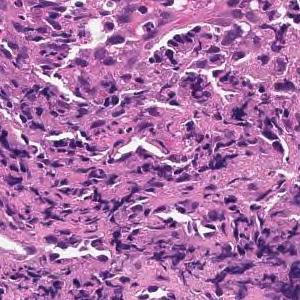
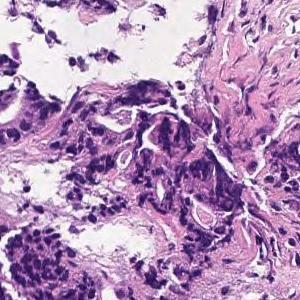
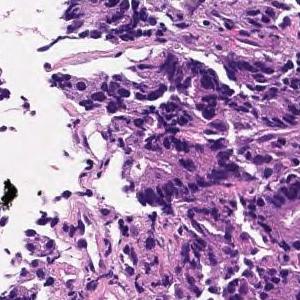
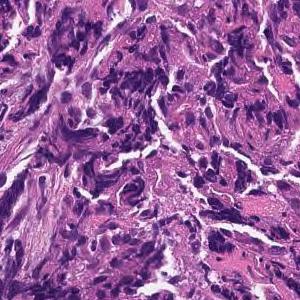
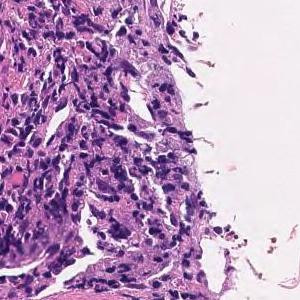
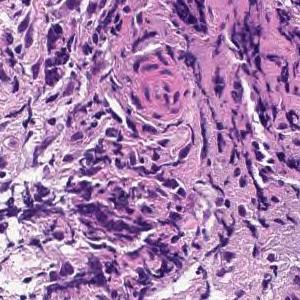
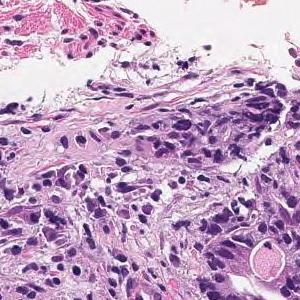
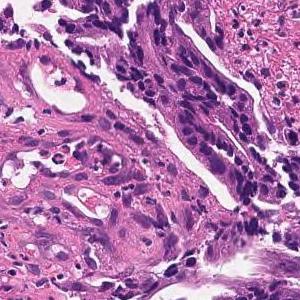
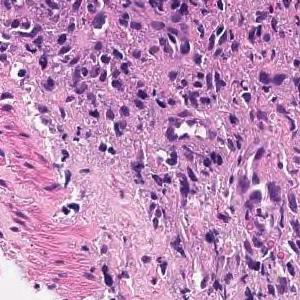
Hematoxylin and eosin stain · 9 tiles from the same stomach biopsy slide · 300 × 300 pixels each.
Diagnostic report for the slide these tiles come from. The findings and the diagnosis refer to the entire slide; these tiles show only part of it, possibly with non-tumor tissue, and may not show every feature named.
Tumor tissue consisting of medium-sized, cord-like or irregular glandular infiltration is observed in the superficial epithelium. Poorly differentiated adenocarcinoma, non-solid type or moderately differentiated tubular adenocarcinoma
Classified as moderately to poorly differentiated adenocarcinoma.
The term "non-solid type" comes from the Japanese Classification of Gastric Carcinoma.
